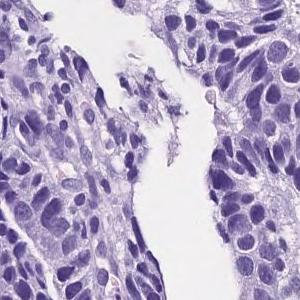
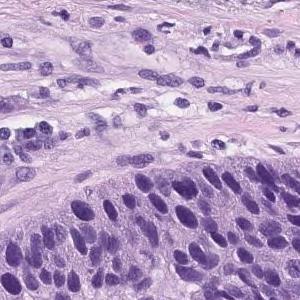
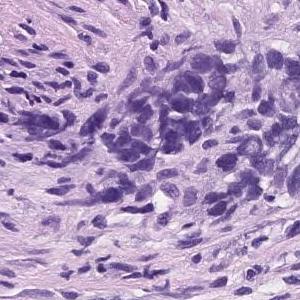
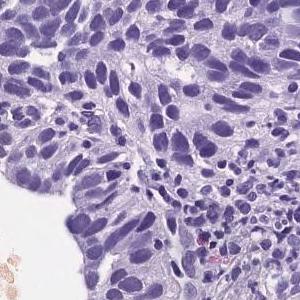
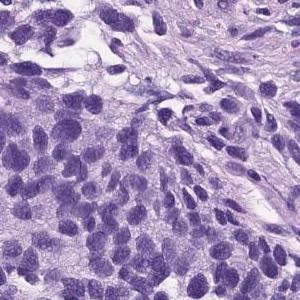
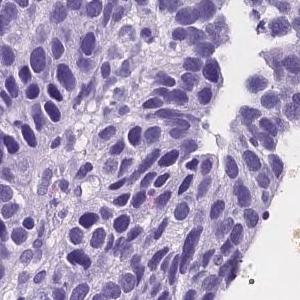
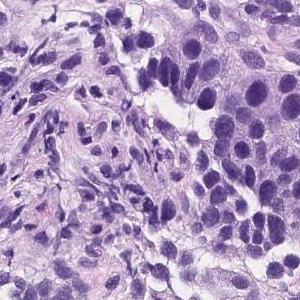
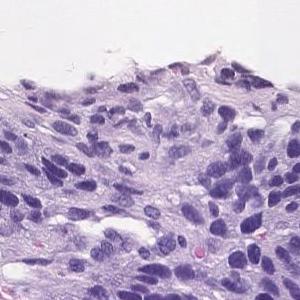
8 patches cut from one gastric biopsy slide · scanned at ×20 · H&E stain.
The pathologist's report on the biopsy slide these tiles were taken from. The report and the diagnosis cover the entire slide, so not every feature they name need be visible here, and some tissue shown may not be tumor.
Atypical cells with atypical nuclei forming small irregular atypical ducts and growing in a conformative manner. moderately differentiated tubular adenocarcinoma
The dataset labels this slide moderately to poorly differentiated adenocarcinoma.
